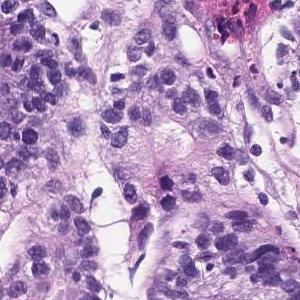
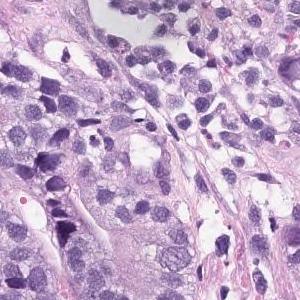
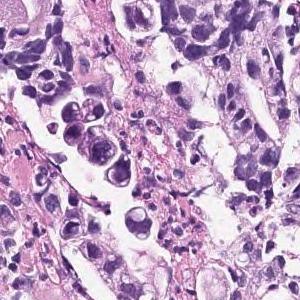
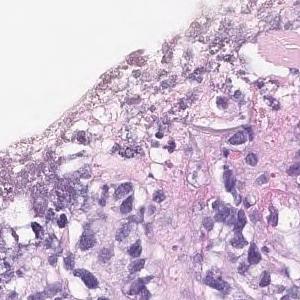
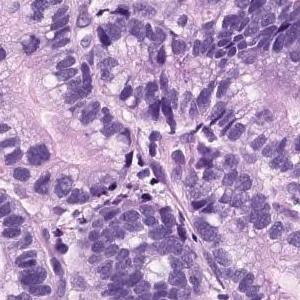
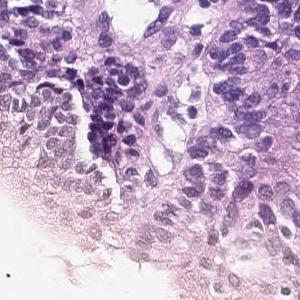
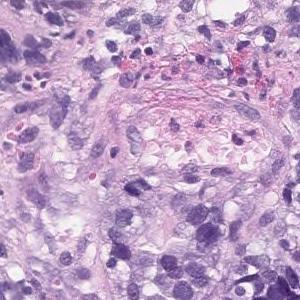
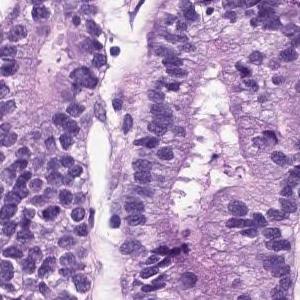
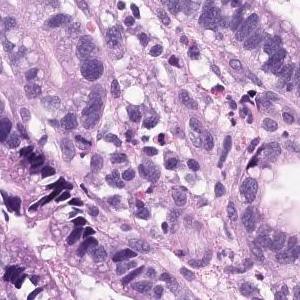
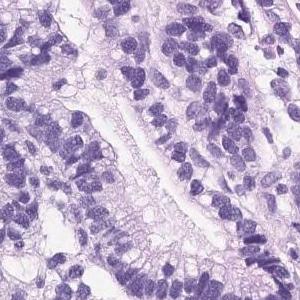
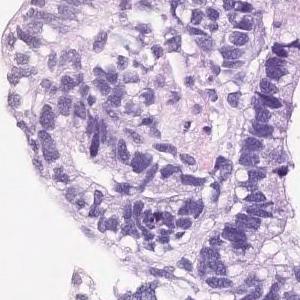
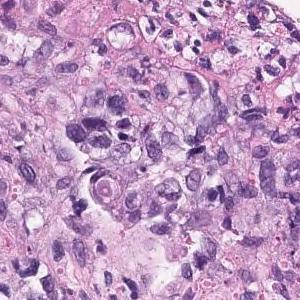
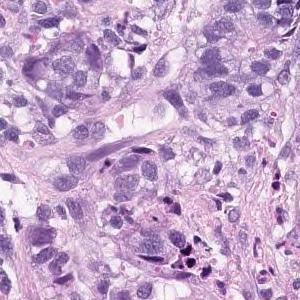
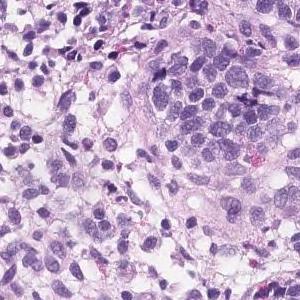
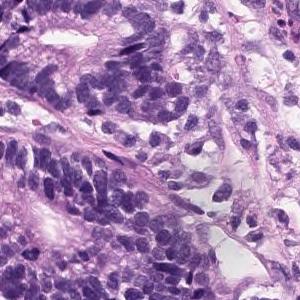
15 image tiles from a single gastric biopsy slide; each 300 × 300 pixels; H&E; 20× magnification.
Pathology report for the slide these tiles were cut from. The report and the diagnosis cover the entire slide, so not every feature they name need be visible here, and some tissue shown may not be tumor.
Hyperplasia of atypical epithelial cells with swelling of the nucleus is observed. Moderately diffentiated tubular adenocarcinoma
Histological subtype: Moderately differentiated tubular adenocarcinoma.
